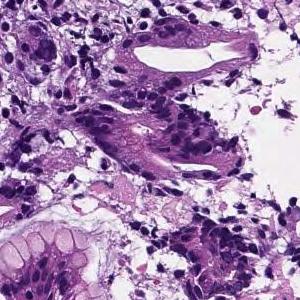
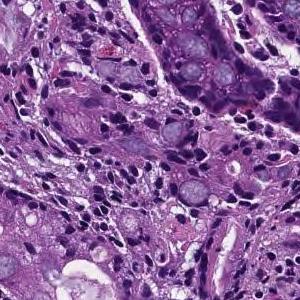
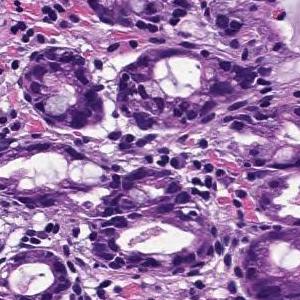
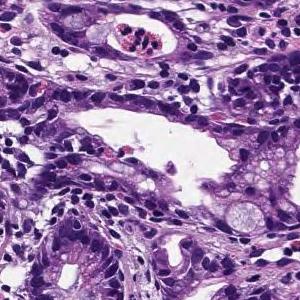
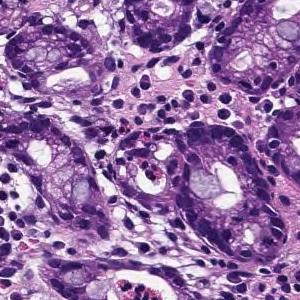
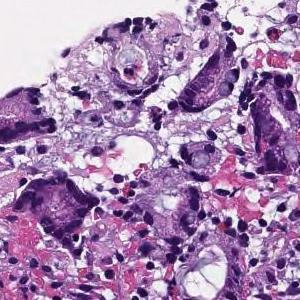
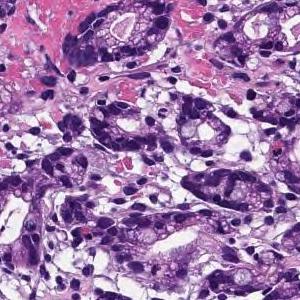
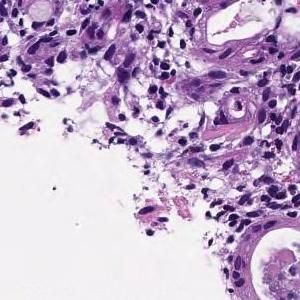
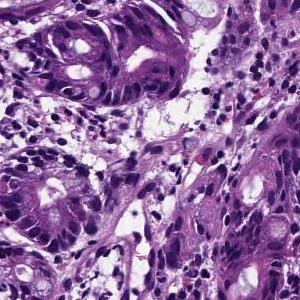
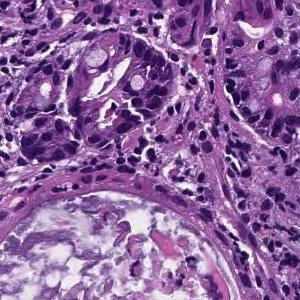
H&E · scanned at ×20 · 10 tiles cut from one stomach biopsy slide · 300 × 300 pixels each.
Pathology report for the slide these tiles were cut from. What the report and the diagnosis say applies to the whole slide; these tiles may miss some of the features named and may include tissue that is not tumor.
Tumor tissue consisting of medium-sized, cord-like or irregular glandular infiltration is observed in the superficial epithelium. Poorly differentiated adenocarcinoma, non-solid type or moderately differentiated tubular adenocarcinoma
Histologic type: Moderately to poorly differentiated adenocarcinoma.
The term "non-solid type" comes from the Japanese Classification of Gastric Carcinoma.
